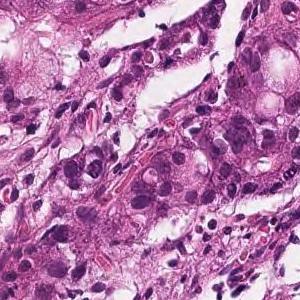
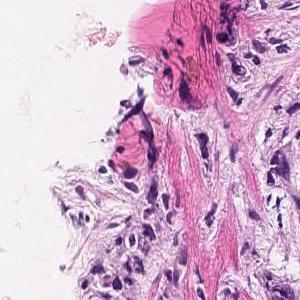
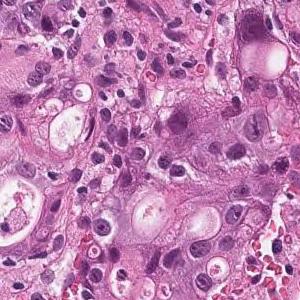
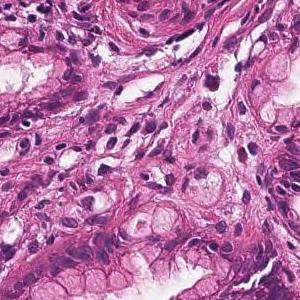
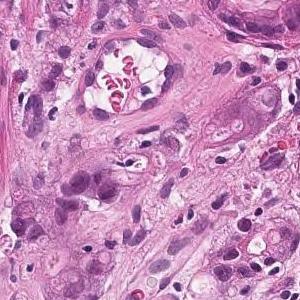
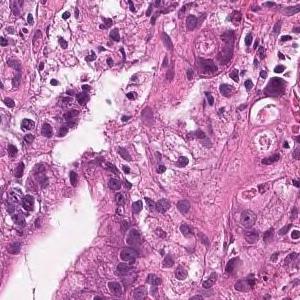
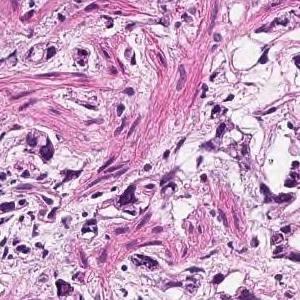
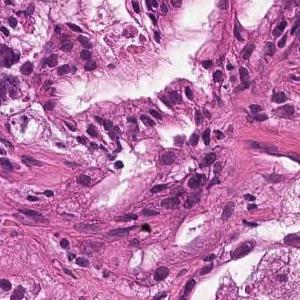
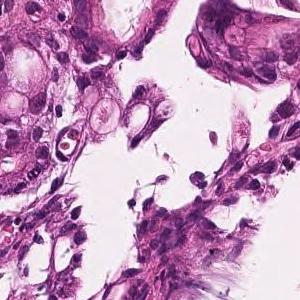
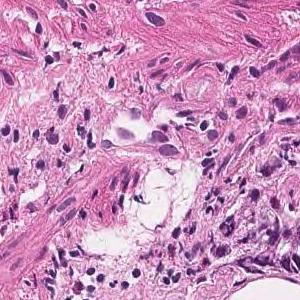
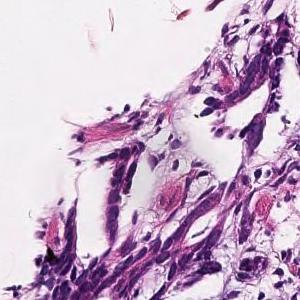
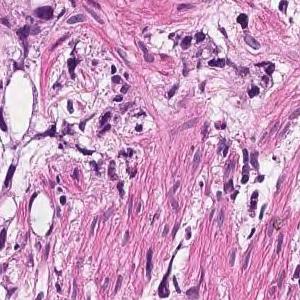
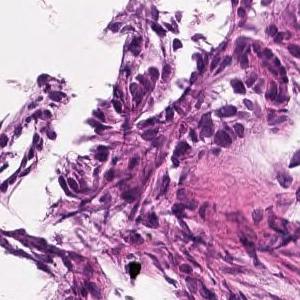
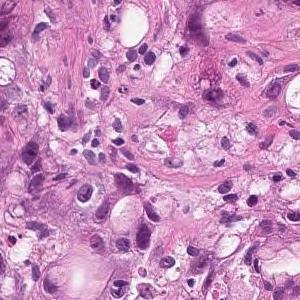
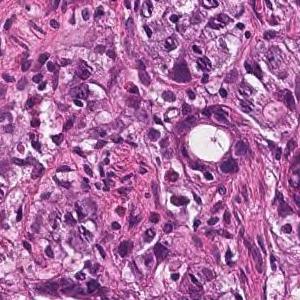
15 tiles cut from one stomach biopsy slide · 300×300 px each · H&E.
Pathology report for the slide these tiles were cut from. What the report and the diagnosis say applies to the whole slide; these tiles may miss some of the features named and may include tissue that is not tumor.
In the gastric mucosal tissue, tumor tissue that forms irregular glandular cavities of medium to small size or shows small cords and infiltrates is observed. moderately differentiated tubular adenocarcinoma
